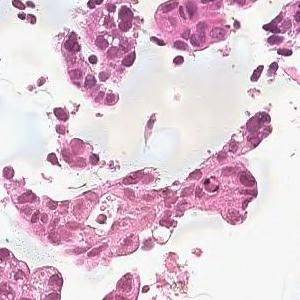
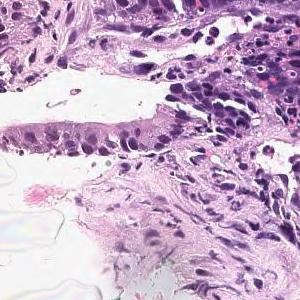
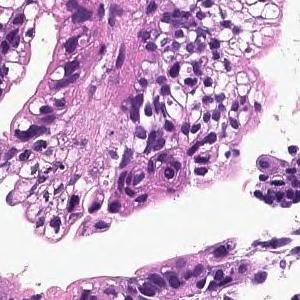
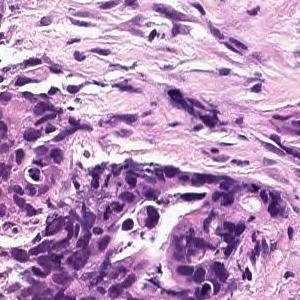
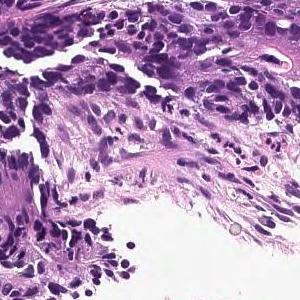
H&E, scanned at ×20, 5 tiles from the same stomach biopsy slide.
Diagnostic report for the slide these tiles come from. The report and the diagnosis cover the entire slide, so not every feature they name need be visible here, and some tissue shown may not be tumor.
In the superficial epithelium, tumor tissue that invades by forming medium-sized to small, irregular ducts is observed. moderately differentiated tubular adenocarcinoma.
